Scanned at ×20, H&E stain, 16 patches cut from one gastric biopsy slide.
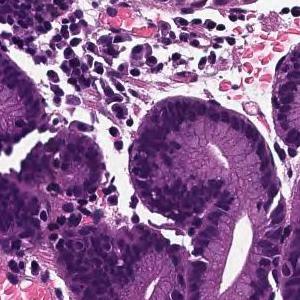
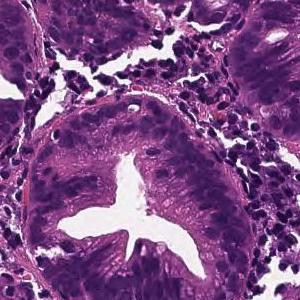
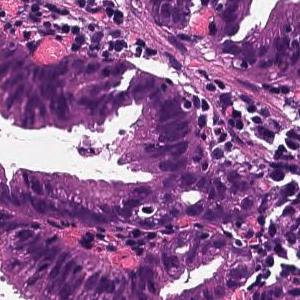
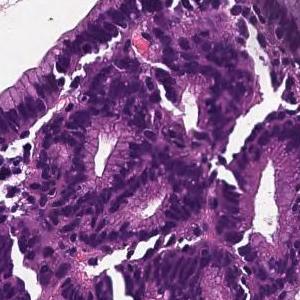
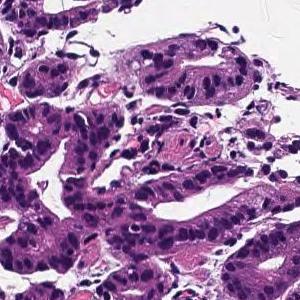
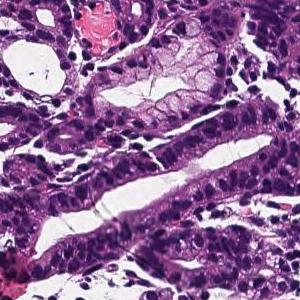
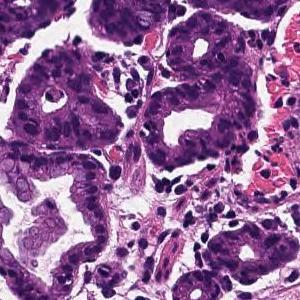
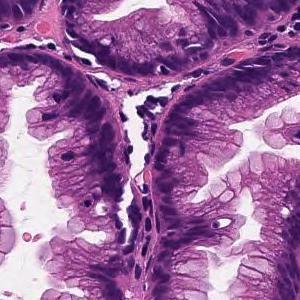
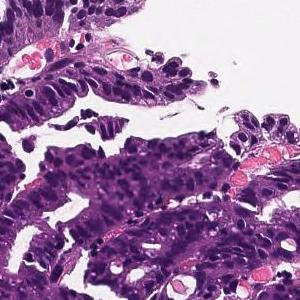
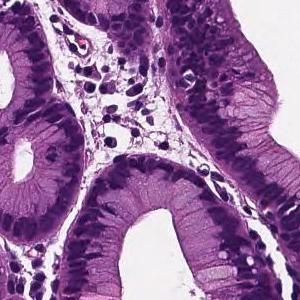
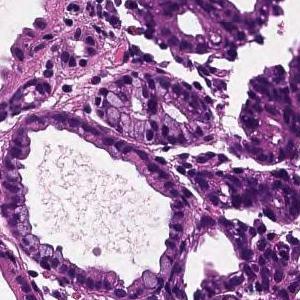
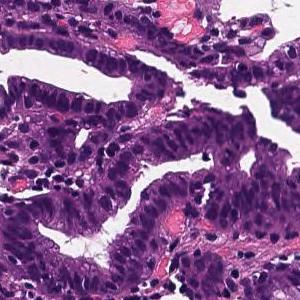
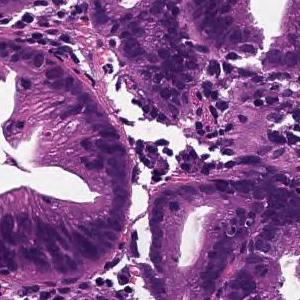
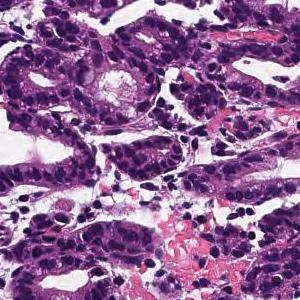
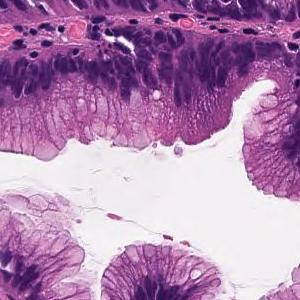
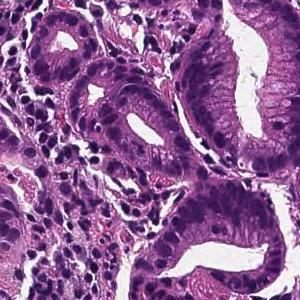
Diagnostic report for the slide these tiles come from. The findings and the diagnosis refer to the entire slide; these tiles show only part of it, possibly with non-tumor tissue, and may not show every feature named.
Cells with elliptical or atypical nuclei form dense ducts with relatively clear growth. Well differentiated tubular adenocarcinoma
